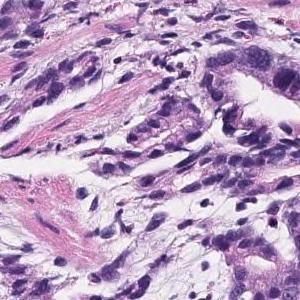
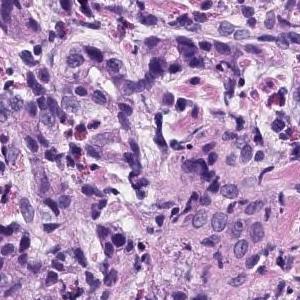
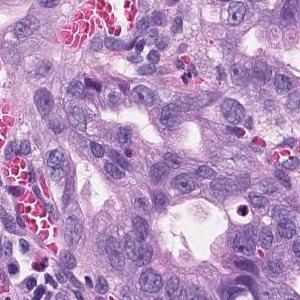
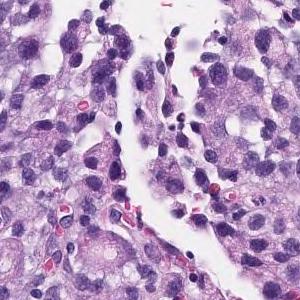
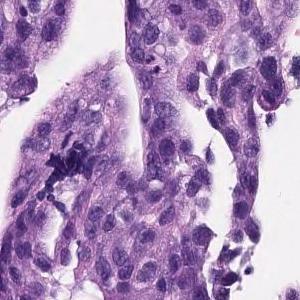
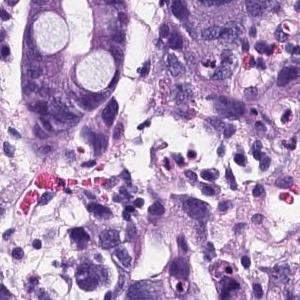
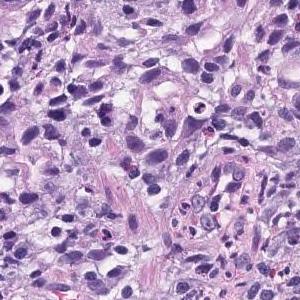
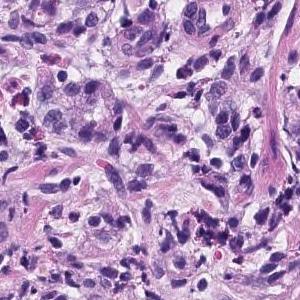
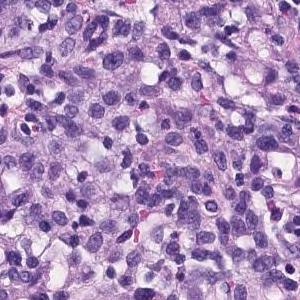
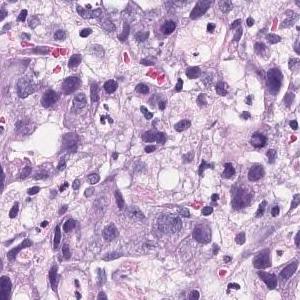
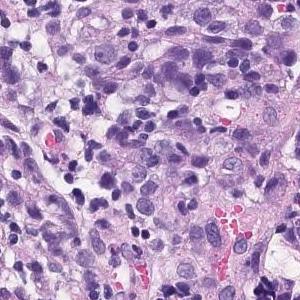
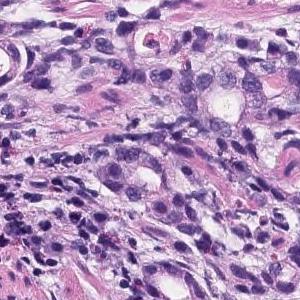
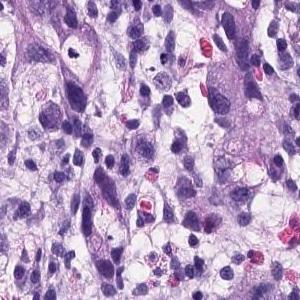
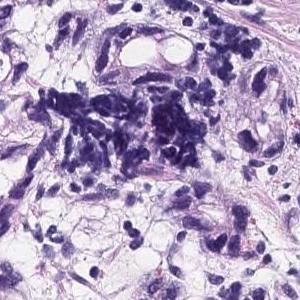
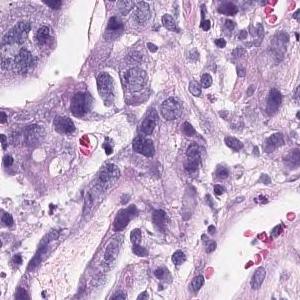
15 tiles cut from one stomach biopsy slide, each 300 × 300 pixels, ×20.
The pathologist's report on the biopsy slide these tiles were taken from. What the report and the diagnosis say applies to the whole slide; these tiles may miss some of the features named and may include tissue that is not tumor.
There are atypical l cells with atypical nuclei forming cord-like or irregular atypical ducts from solidity and proliferating in a comprehensive manner. Poorly differentiated adenocarcinoma, Moderately differentiated adenocarcinoma (poorly differentiated adenocarcinoma, solid type moderately differentiated tubular adenocarcinoma)
Classified as moderately to poorly differentiated adenocarcinoma.
"Solid type" is a category of the Japanese Classification of Gastric Carcinoma; in the WHO 2019 classification it is tubular adenocarcinoma, poorly differentiated.
